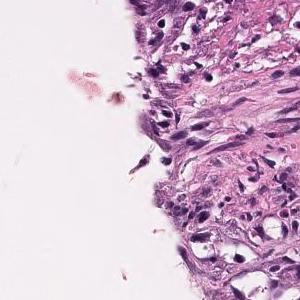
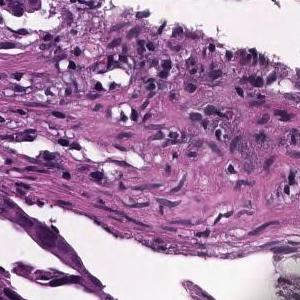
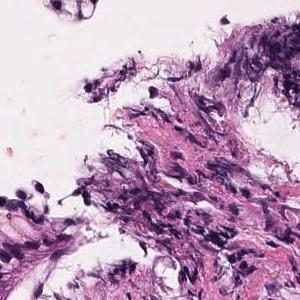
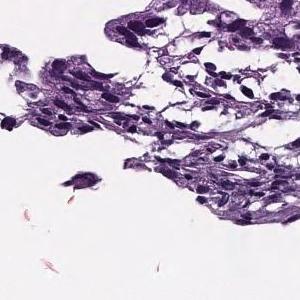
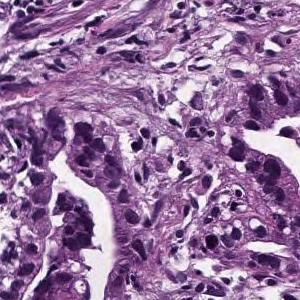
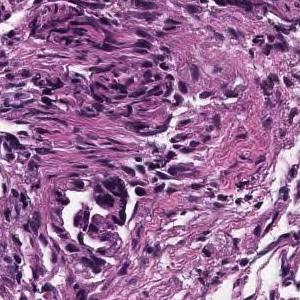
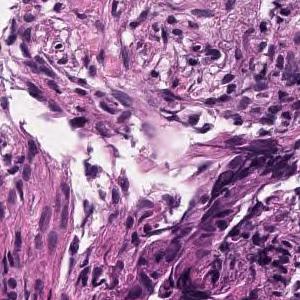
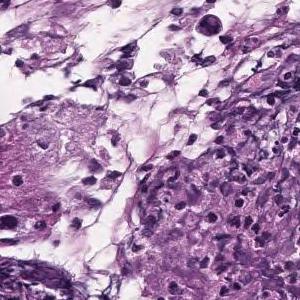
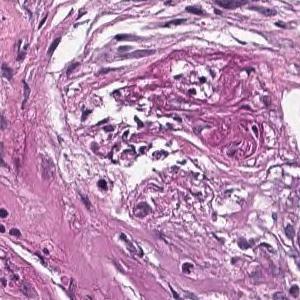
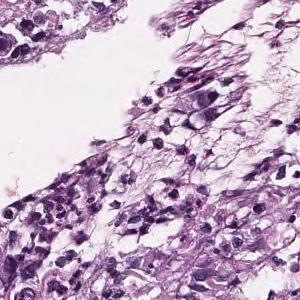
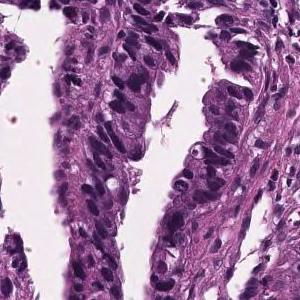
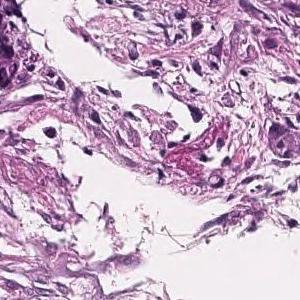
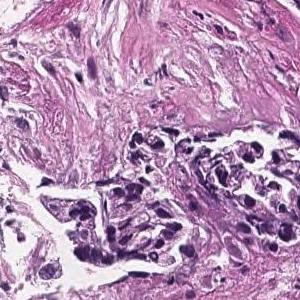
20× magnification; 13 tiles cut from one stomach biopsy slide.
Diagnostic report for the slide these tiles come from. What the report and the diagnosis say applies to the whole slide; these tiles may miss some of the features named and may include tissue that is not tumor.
In the superficial epithelium, tumor tissue that invades by forming medium-sized to small, irregular ducts is observed. moderately differentiated tubular adenocarcinoma.
